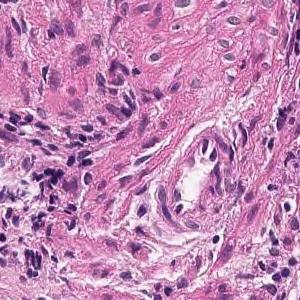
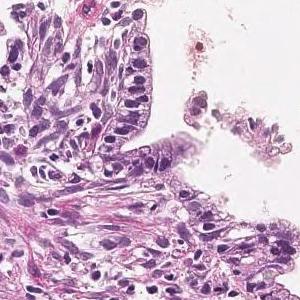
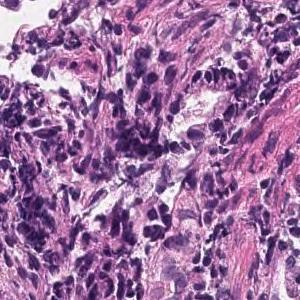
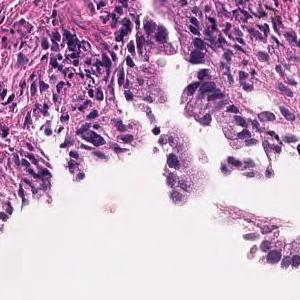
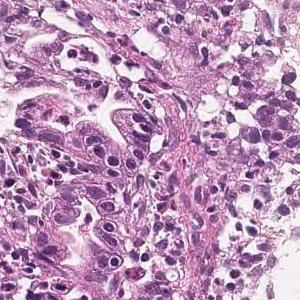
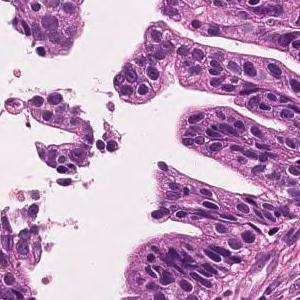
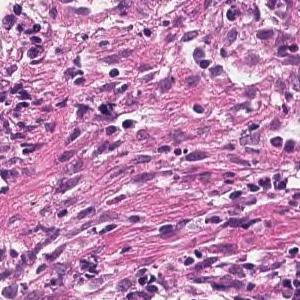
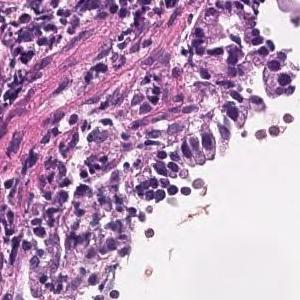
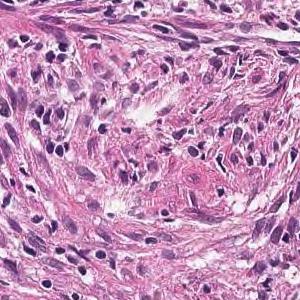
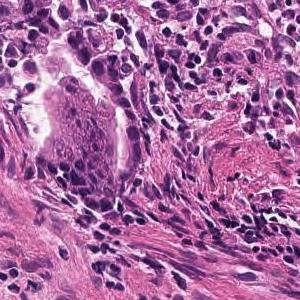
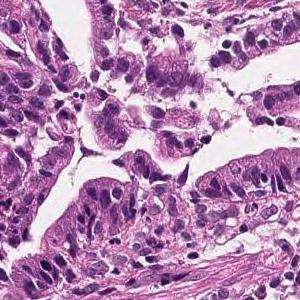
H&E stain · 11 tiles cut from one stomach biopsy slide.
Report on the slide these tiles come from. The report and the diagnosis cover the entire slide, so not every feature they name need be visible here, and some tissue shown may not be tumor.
Tumor cells are large, highly columnar, large club-shaped nuclei, and are associated with chromatin aggregation. Papillary adenocarcinoma.
